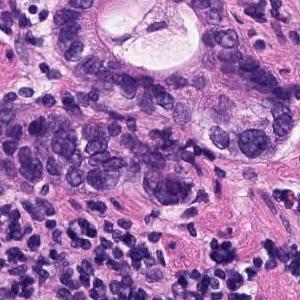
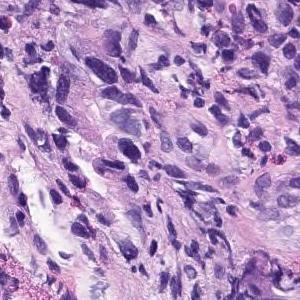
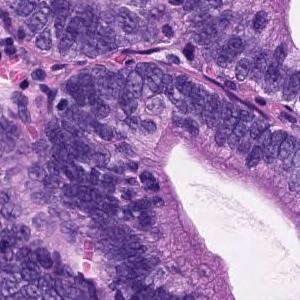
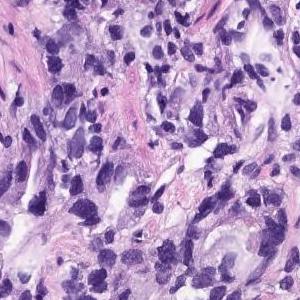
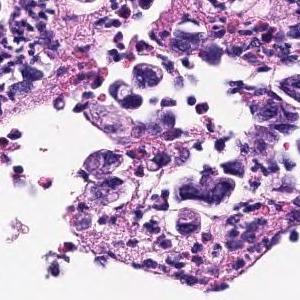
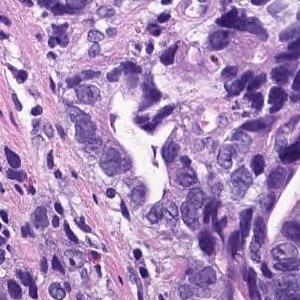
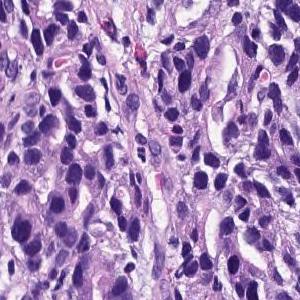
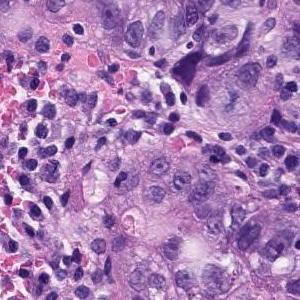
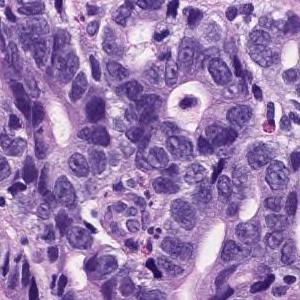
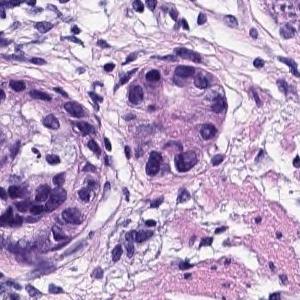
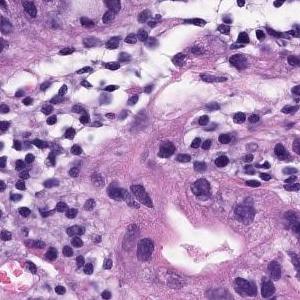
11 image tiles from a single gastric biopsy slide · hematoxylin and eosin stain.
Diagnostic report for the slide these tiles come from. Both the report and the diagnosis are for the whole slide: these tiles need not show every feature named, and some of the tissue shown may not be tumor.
On the superficial epithelium, tumor tissue consisting of images showing invasive growth with small, irregular tubules partially fused is observed. moderately differentiated tubular adenocarcinoma
